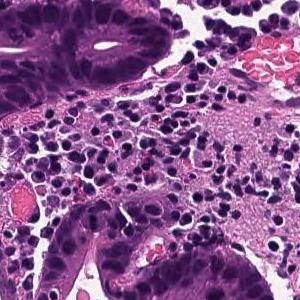
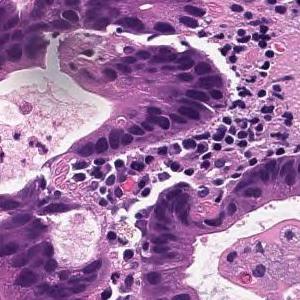
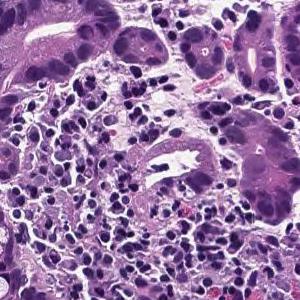
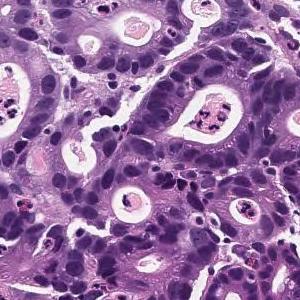
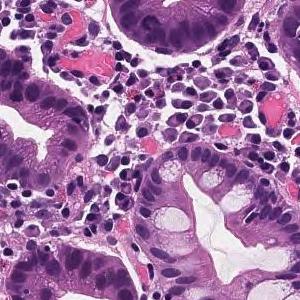
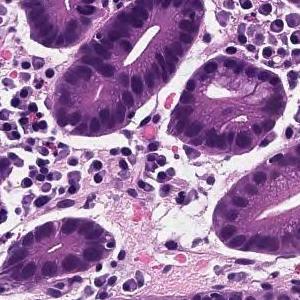
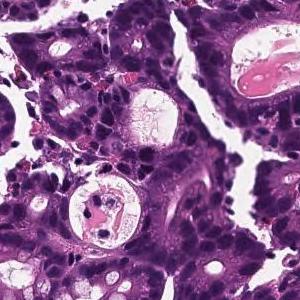
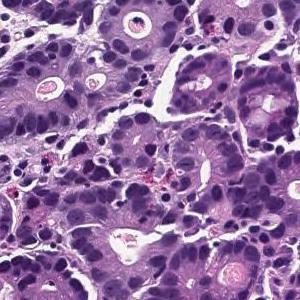
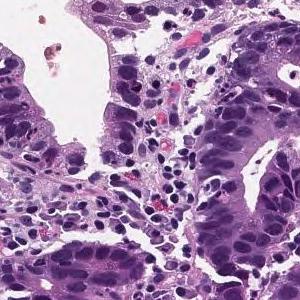
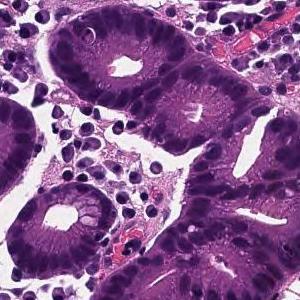
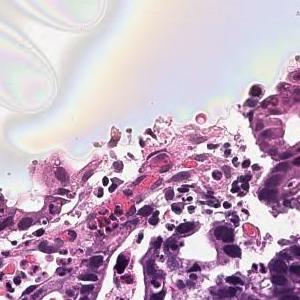
11 image tiles from a single gastric biopsy slide · 300 × 300 pixels each.
Pathology report for the biopsy slide these tiles were cut from. The findings and the diagnosis refer to the entire slide; these tiles show only part of it, possibly with non-tumor tissue, and may not show every feature named.
Cancer cells with strongly atypical nuclei grow while forming ducts showing lumens of various sizes. moderately differentiated tubular adenocarcinoma
